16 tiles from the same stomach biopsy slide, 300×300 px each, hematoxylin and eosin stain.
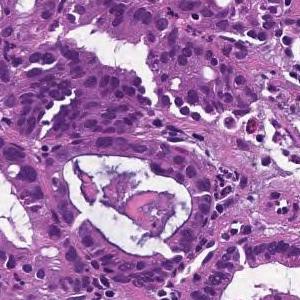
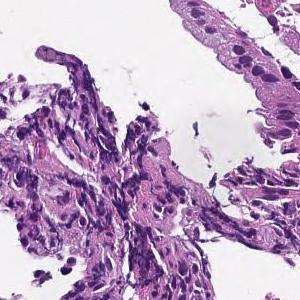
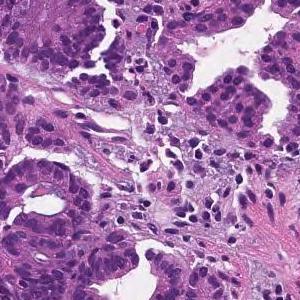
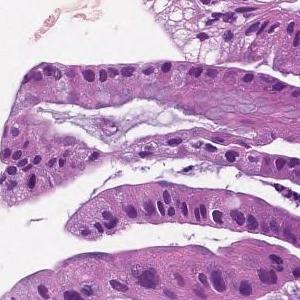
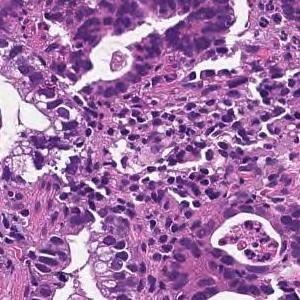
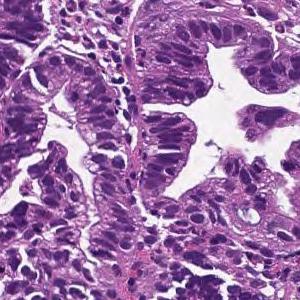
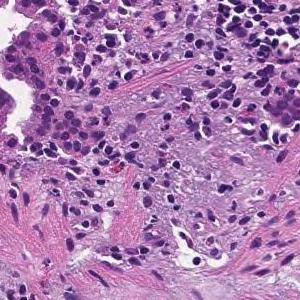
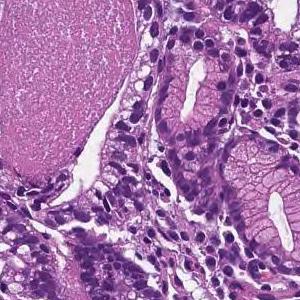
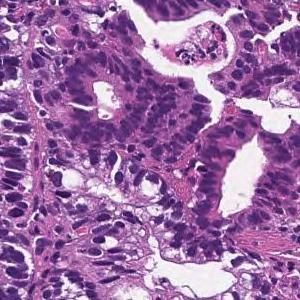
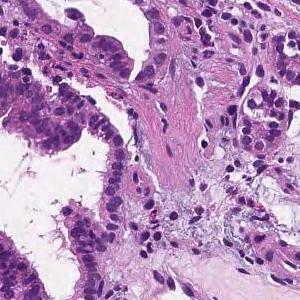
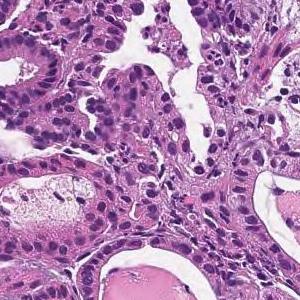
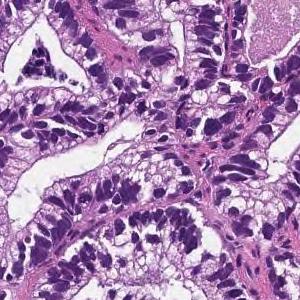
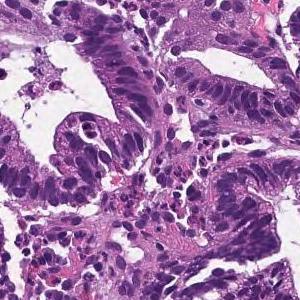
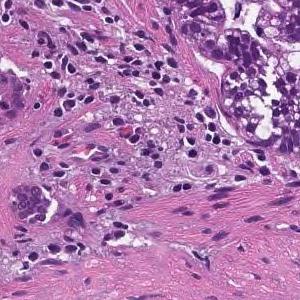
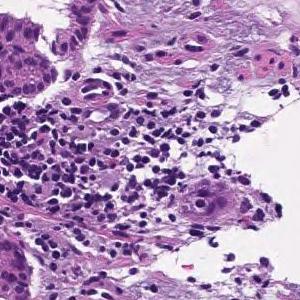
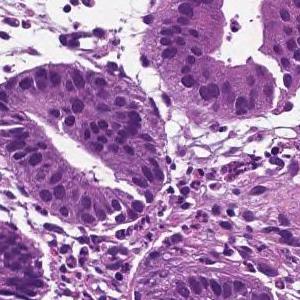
Pathology report for the slide these tiles were cut from. The findings and the diagnosis refer to the entire slide; these tiles show only part of it, possibly with non-tumor tissue, and may not show every feature named.
From the superficial epithelium to the muscularis mucosae, tumor tissue consisting of medium-sized and irregular glandular ducts infiltrating is observed. Well differentiated tubular adenocarcinoma
